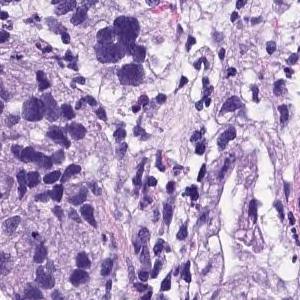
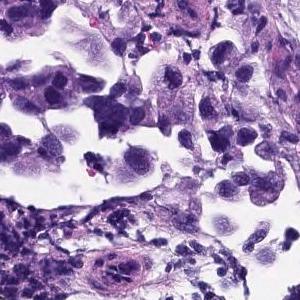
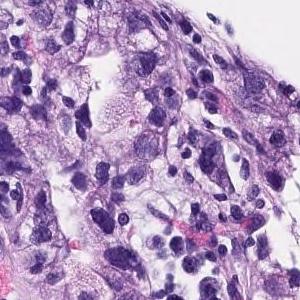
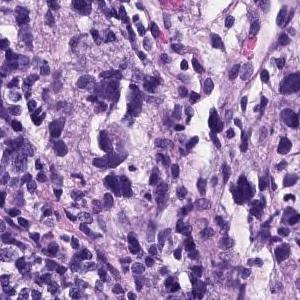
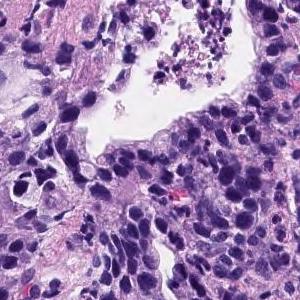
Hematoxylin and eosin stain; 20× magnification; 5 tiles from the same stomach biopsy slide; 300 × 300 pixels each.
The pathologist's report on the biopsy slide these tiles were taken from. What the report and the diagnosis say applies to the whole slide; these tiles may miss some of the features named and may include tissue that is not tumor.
Medium to small, irregular glandular ducts are formed in the superficial epithelium, and in some cases, the glandular ducts are fused to show solid alveolar lesions and infiltrating tumor tissue is observed. Poorly differentiated adenocarcinoma, Moderately differentiated adenocarcinoma.
Labeled in the dataset as moderately differentiated tubular adenocarcinoma.
